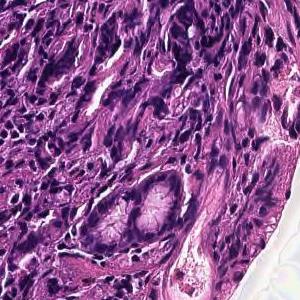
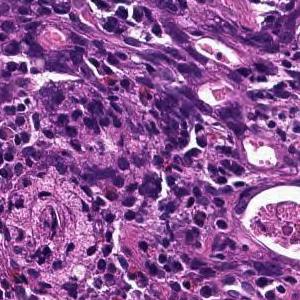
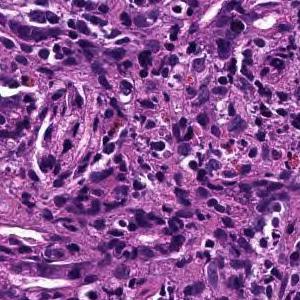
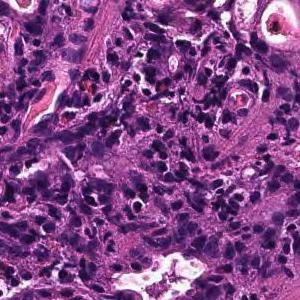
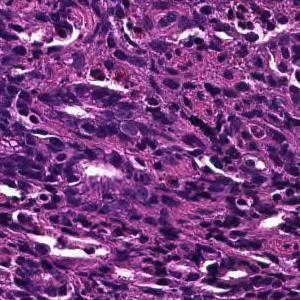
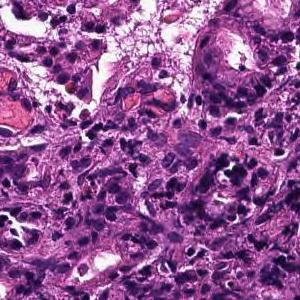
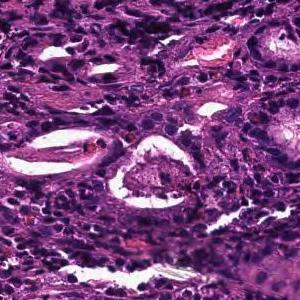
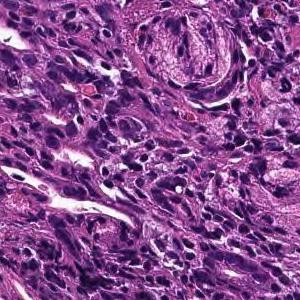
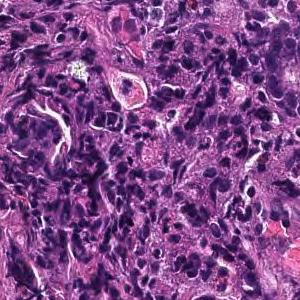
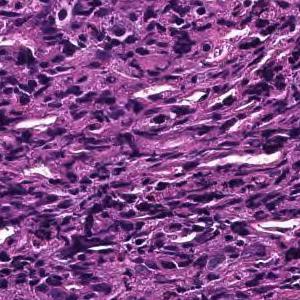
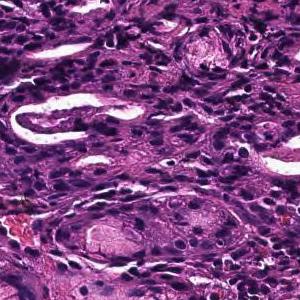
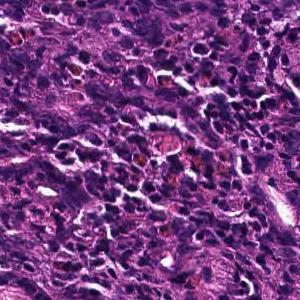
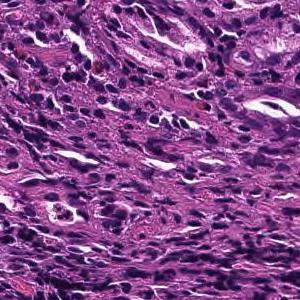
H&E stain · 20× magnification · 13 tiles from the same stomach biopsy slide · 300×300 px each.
Pathology report for the slide these tiles were cut from. The report and the diagnosis describe the slide as a whole, so these tiles may not show every feature named and may include non-tumor tissue.
In the superficial epithelium, tumor tissue that invades by forming medium-sized to small, irregular ducts is observed. moderately differentiated tubular adenocarcinoma.
